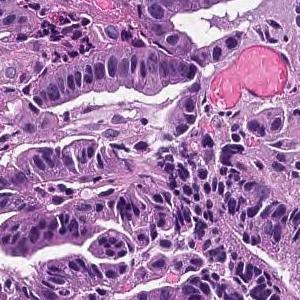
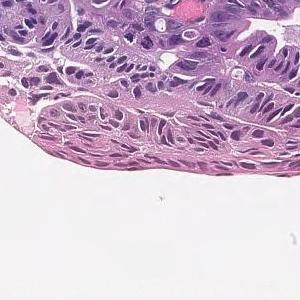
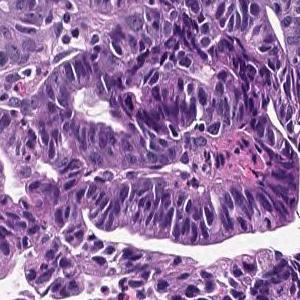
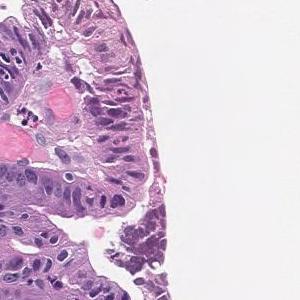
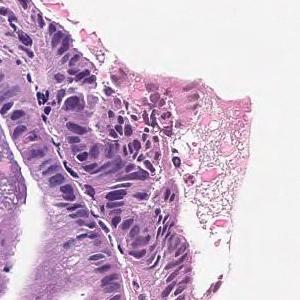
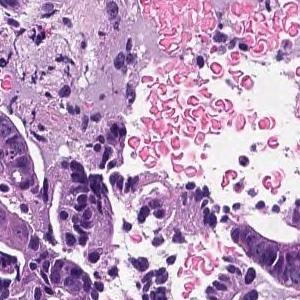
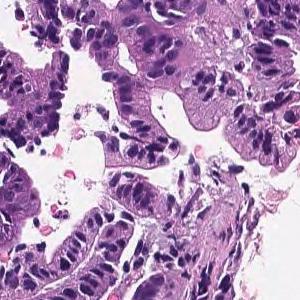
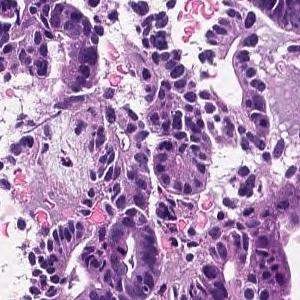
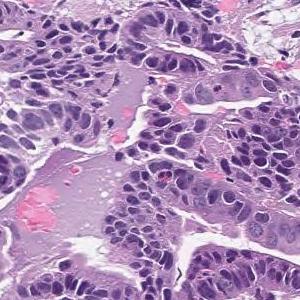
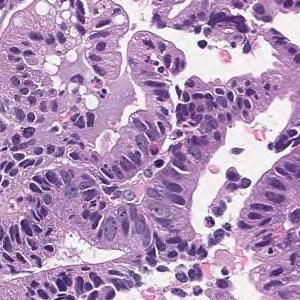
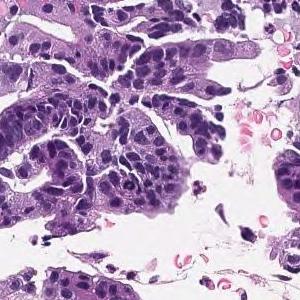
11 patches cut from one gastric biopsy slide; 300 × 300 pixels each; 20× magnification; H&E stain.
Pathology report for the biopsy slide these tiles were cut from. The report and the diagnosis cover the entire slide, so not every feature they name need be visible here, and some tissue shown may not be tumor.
Tumor cells are large, highly columnar, large club-shaped nuclei, and are associated with chromatin aggregation. Papillary adenocarcinoma.
